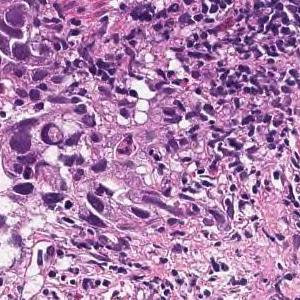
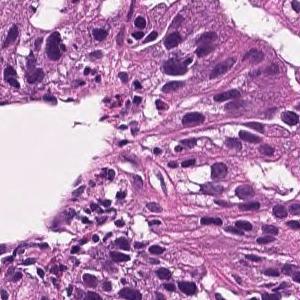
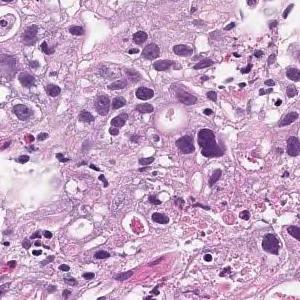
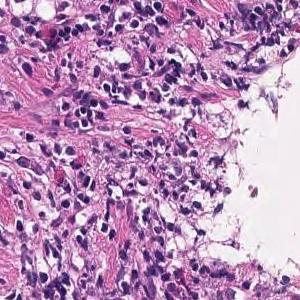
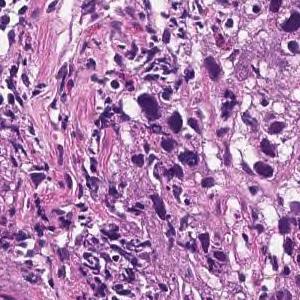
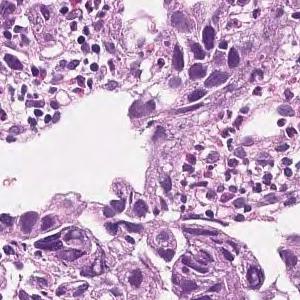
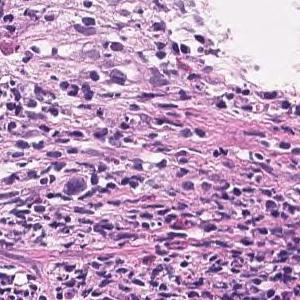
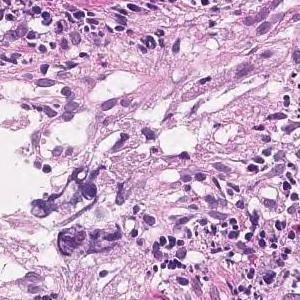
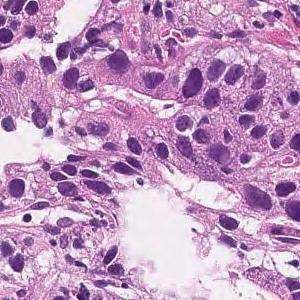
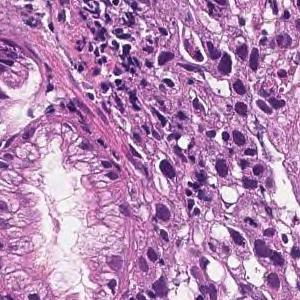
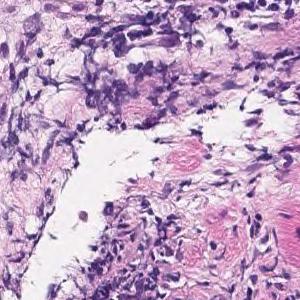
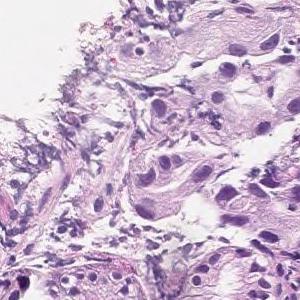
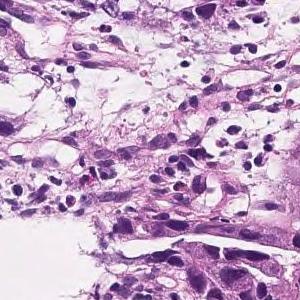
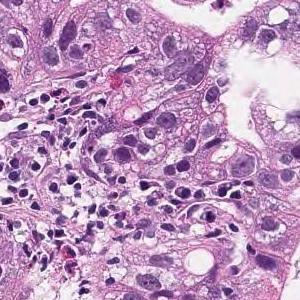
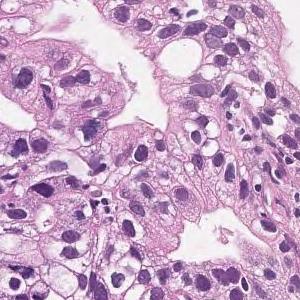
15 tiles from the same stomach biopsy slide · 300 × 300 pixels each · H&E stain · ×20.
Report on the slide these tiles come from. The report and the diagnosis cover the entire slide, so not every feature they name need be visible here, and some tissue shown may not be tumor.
In the superficial epithelium, tumor tissue that invades by forming medium-sized to small, irregular ducts is observed. moderately differentiated tubular adenocarcinoma.
